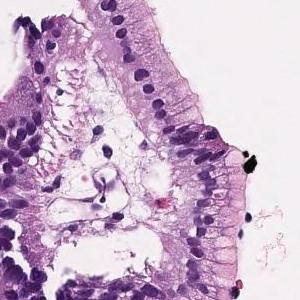
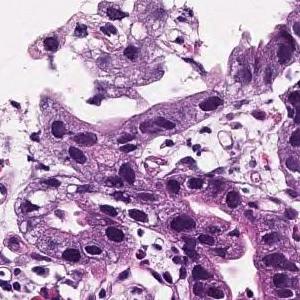
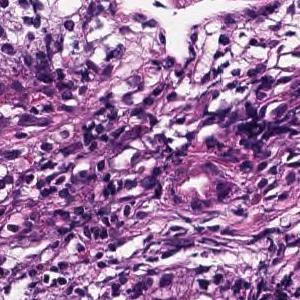
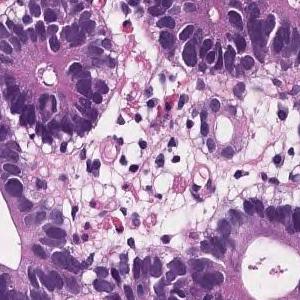
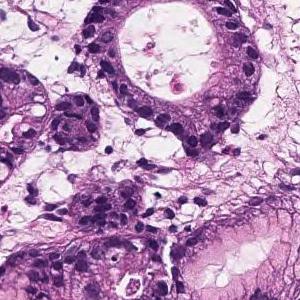
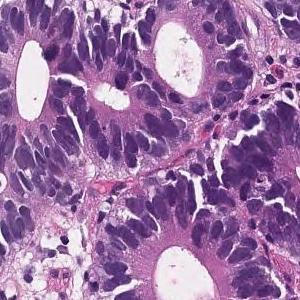
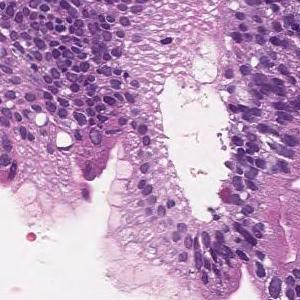
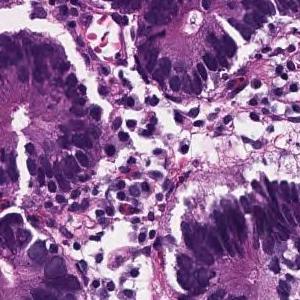
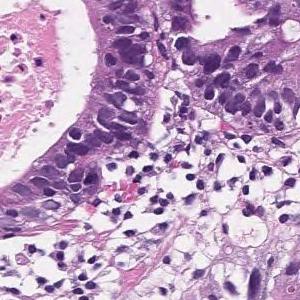
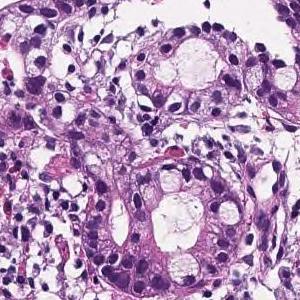
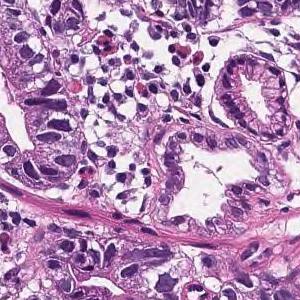
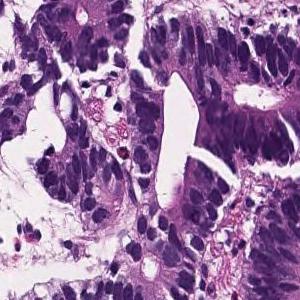
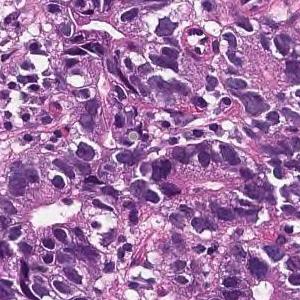
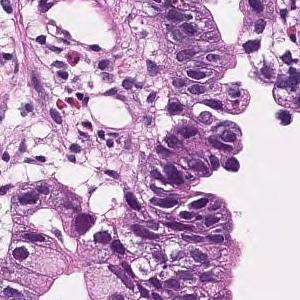
Hematoxylin and eosin stain, 14 tiles cut from one stomach biopsy slide.
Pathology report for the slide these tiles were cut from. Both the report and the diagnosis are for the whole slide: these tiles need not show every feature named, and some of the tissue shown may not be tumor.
On the superficial epithelium, tumor tissue consisting of large, irregular glandular ducts partially fused and infiltrated is observed. Well to moderately differentiated tubular adenocarcinoma (well differentiated tubular adenocarcinoma, moderately differentiated tubular adenocarcinoma)
Subtype: Well to moderately differentiated tubular adenocarcinoma.
